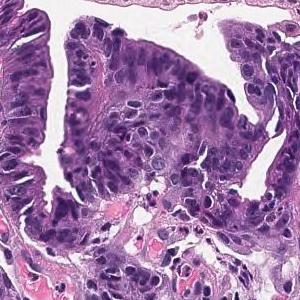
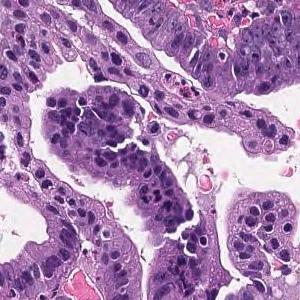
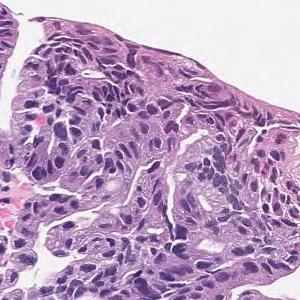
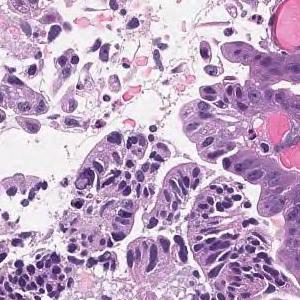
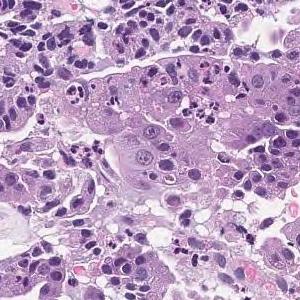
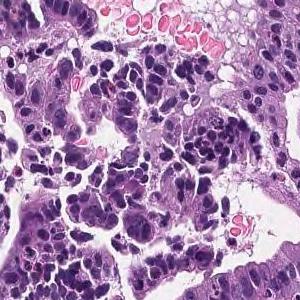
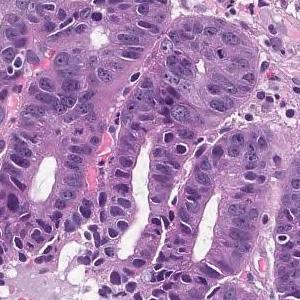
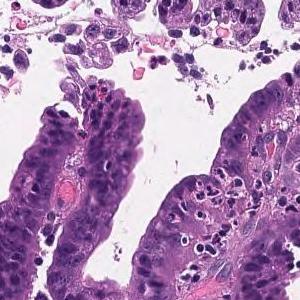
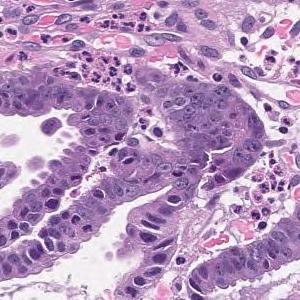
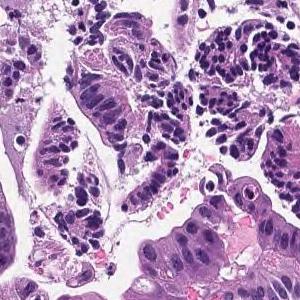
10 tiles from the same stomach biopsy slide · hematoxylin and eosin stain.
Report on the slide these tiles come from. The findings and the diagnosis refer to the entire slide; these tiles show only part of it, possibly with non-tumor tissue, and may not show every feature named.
Tumor cells are large, highly columnar, large club-shaped nuclei, and are associated with chromatin aggregation. Papillary adenocarcinoma.
